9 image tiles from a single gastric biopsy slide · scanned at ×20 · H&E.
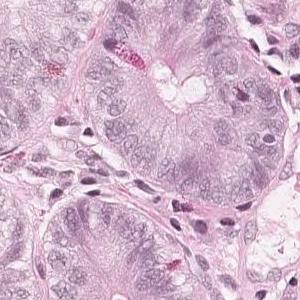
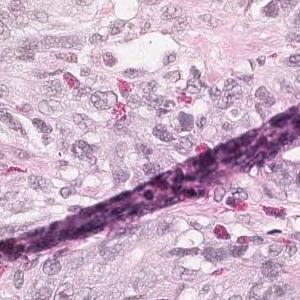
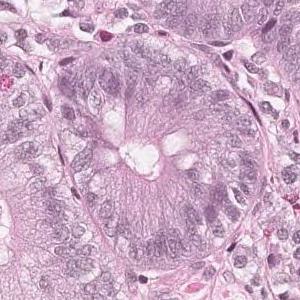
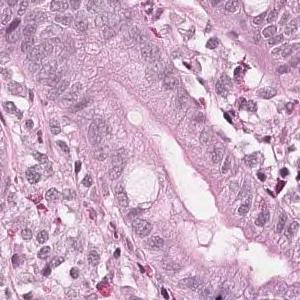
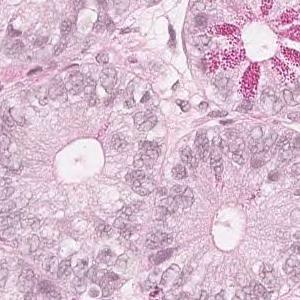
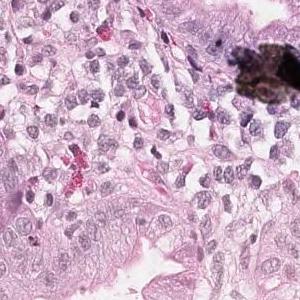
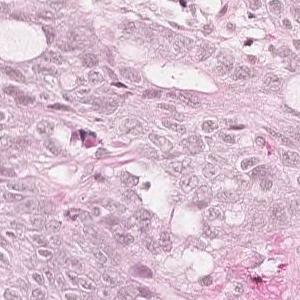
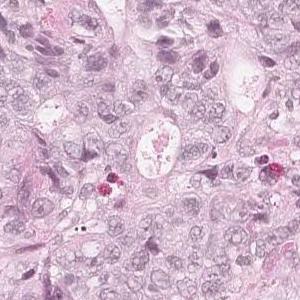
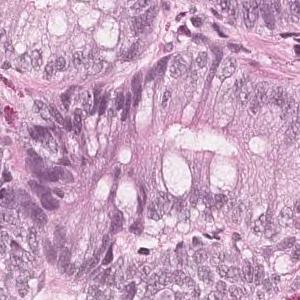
Pathology report for the biopsy slide these tiles were cut from. The report describes the whole slide, diagnosis included: not every finding it names need appear in these tiles, which may also show non-tumor tissue.
Medium to small, irregular glandular ducts are formed in the superficial epithelium, and in some cases, the glandular ducts are fused to show solid alveolar lesions and infiltrating tumor tissue is observed. Moderately to poorly differentiated adenocarcinoma.
